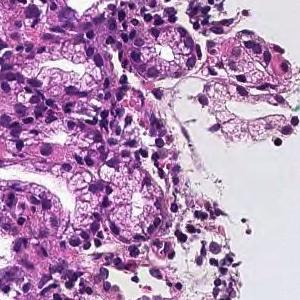
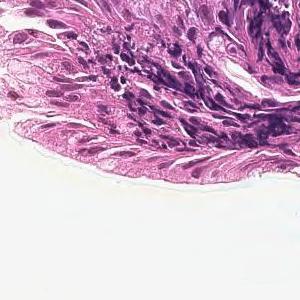
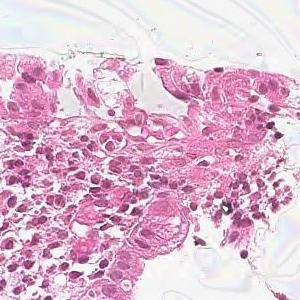
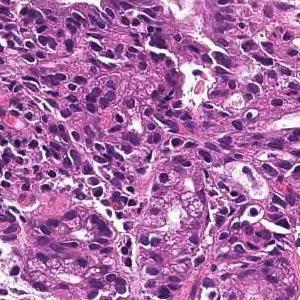
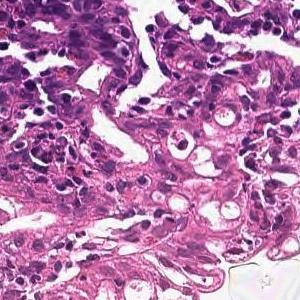
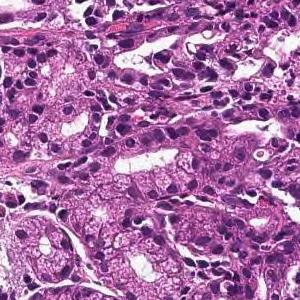
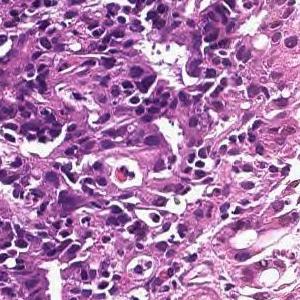
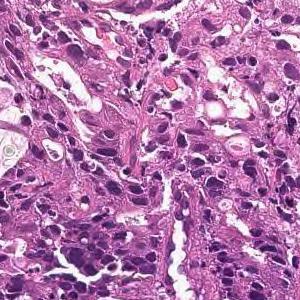
8 tiles from the same stomach biopsy slide · H&E stain · 20× magnification.
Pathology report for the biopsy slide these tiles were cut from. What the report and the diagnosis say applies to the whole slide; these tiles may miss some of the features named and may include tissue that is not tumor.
In the superficial epithelium, tumor tissue that invades by forming medium-sized to small, irregular ducts is observed. moderately differentiated tubular adenocarcinoma.
